9 tiles from the same stomach biopsy slide, 300×300 px each, ×20, hematoxylin and eosin stain.
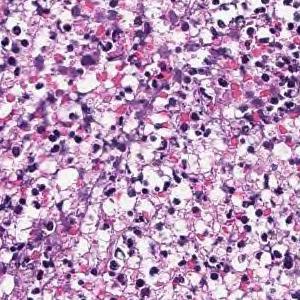
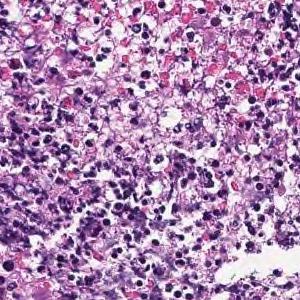
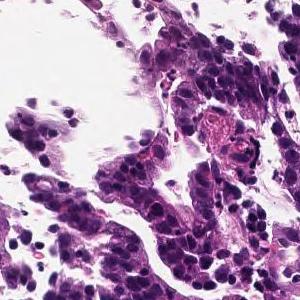
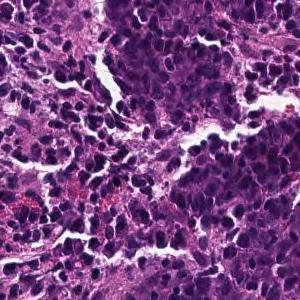
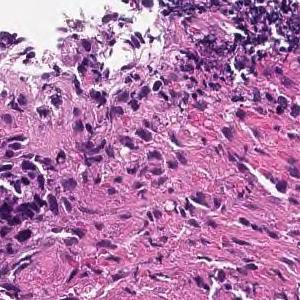
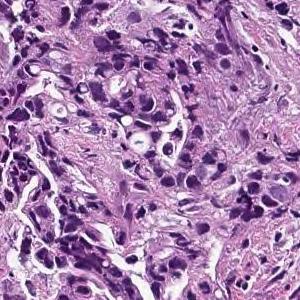
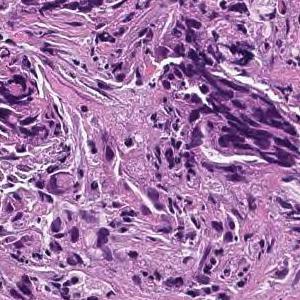
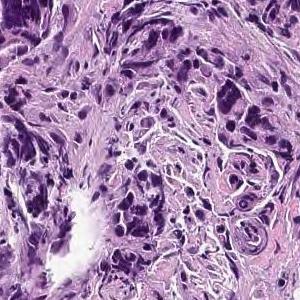
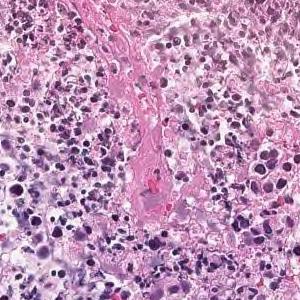
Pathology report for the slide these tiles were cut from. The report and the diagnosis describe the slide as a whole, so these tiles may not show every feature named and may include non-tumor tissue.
In the superficial epithelium, tumor tissue that invades by forming medium-sized to small, irregular ducts is observed. moderately differentiated tubular adenocarcinoma.
